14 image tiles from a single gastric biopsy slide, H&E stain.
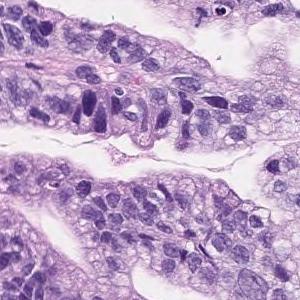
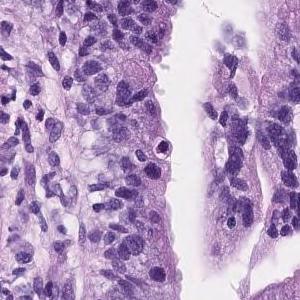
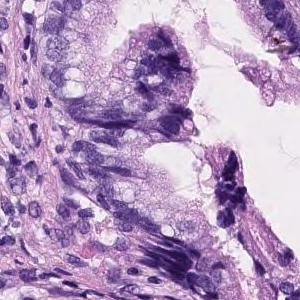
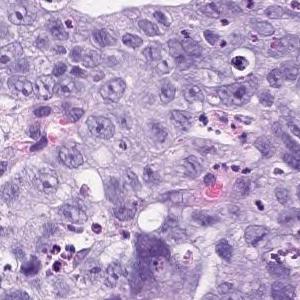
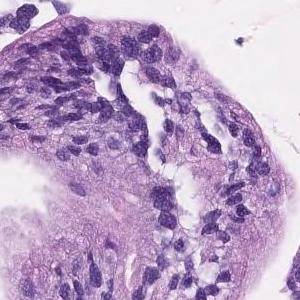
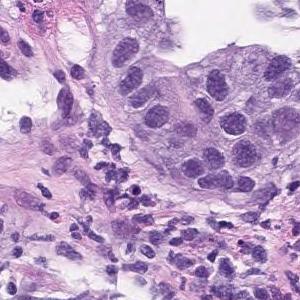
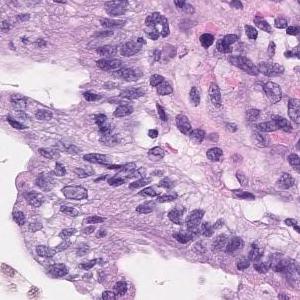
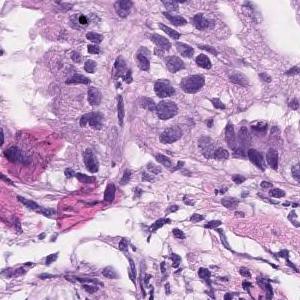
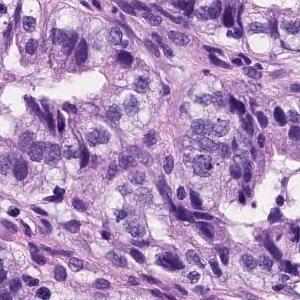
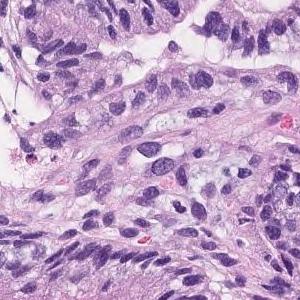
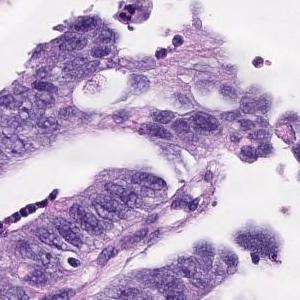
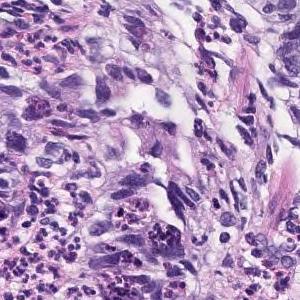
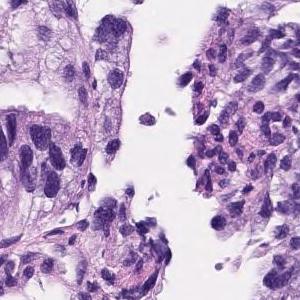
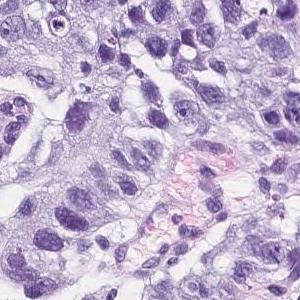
Diagnostic report for the slide these tiles come from. Both the report and the diagnosis are for the whole slide: these tiles need not show every feature named, and some of the tissue shown may not be tumor.
Tumor cells are large, highly columnar, large club-shaped nuclei, and are associated with chromatin aggregation. Papillary adenocarcinoma.
